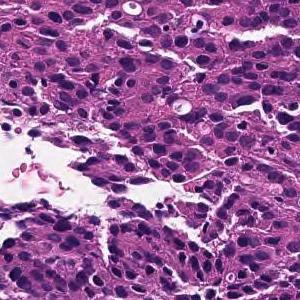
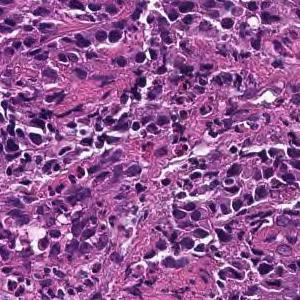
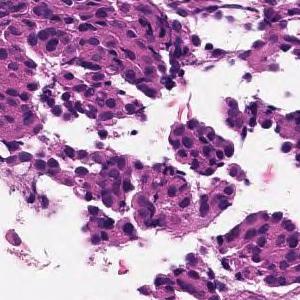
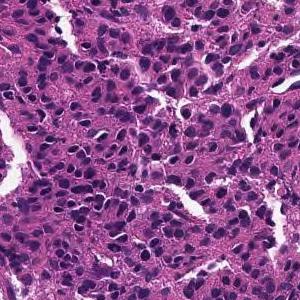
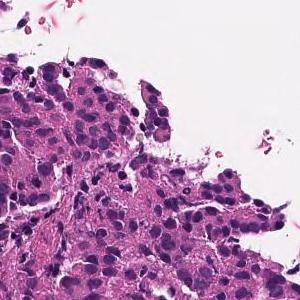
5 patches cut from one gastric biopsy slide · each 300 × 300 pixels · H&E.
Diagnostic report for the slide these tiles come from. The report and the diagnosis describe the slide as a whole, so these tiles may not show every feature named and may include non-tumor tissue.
The superficial epithelium shows a large sheet-like shape, and some tumor tissue infiltrates with small irregular ducts. Poorly differentiated adenocarcinoma, solid-type
Tumor subtype: poorly differentiated adenocarcinoma, solid type, a category of the Japanese Classification of Gastric Carcinoma; in the WHO 2019 classification it is tubular adenocarcinoma, poorly differentiated.
